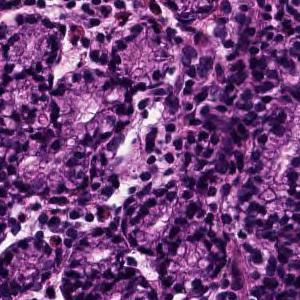
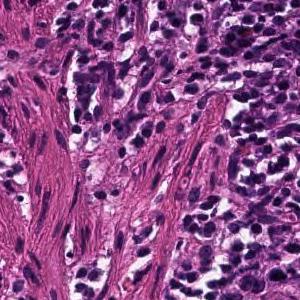
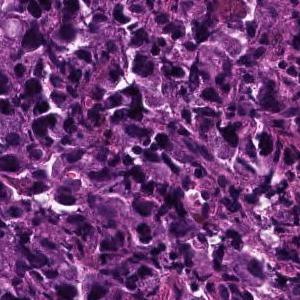
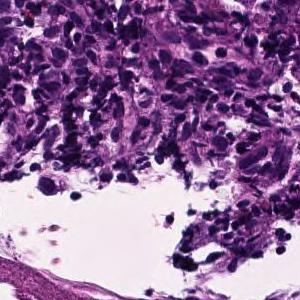
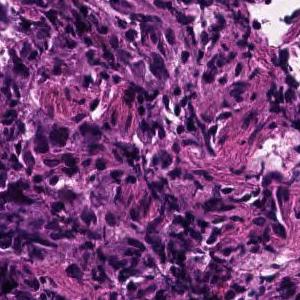
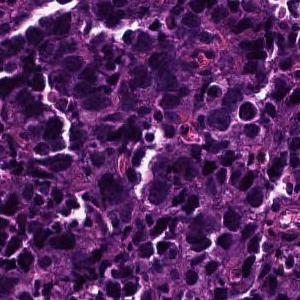
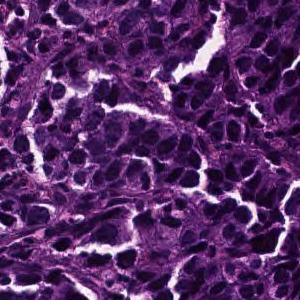
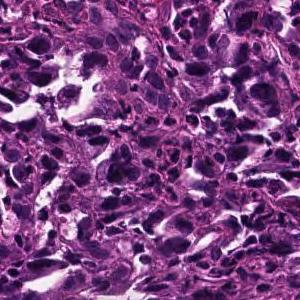
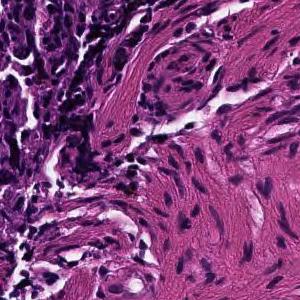
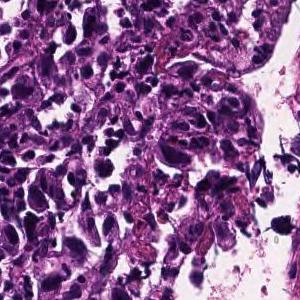
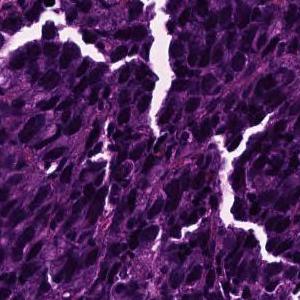
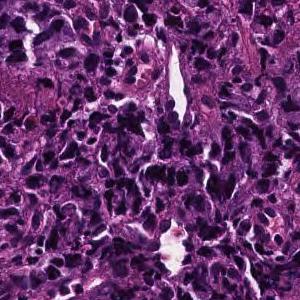
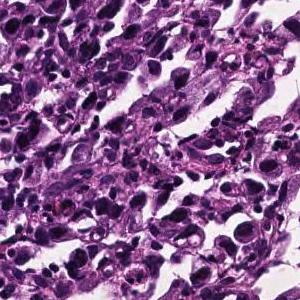
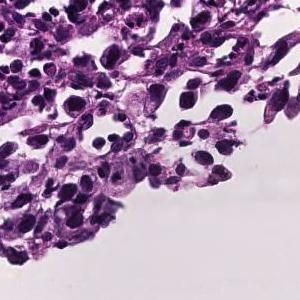
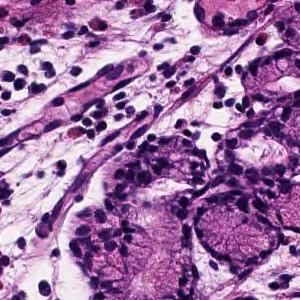
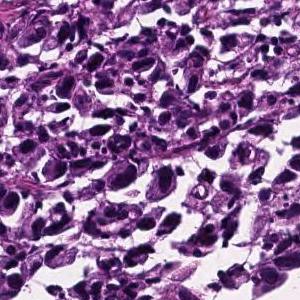
16 tiles from the same stomach biopsy slide · scanned at ×20.
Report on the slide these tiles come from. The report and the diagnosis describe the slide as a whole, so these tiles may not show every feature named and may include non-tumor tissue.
The superficial epithelium shows a large sheet-like shape, and some tumor tissues infiltrate with a small cord-like structure. Poorly differentiated adenocarcinoma, solid type (poorly differentiated adenocarcinoma, solid type)
Tumor subtype: poorly differentiated adenocarcinoma, solid type (Japanese Classification of Gastric Carcinoma). The WHO 2019 equivalent is tubular adenocarcinoma, poorly differentiated.
